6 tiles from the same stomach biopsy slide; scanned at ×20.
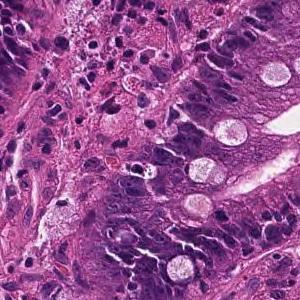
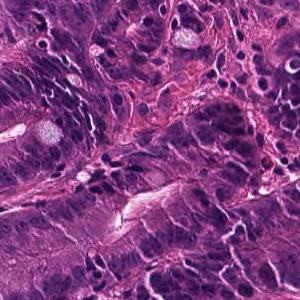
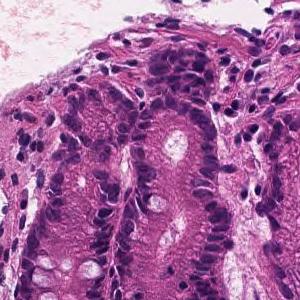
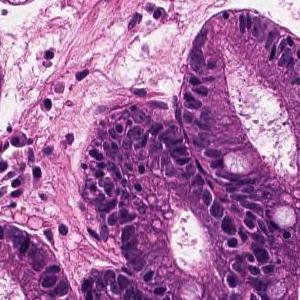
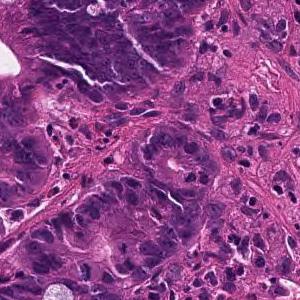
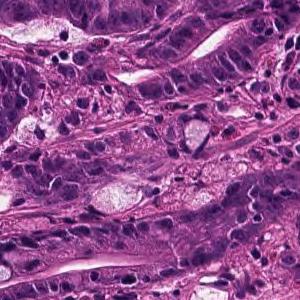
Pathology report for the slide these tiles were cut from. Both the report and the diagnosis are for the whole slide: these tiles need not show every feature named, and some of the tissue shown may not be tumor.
Medium to small, irregular glandular ducts are formed in the superficial epithelium, and in some cases, the glandular ducts are fused to show solid alveolar lesions and infiltrating tumor tissue is observed. Moderately to poorly differentiated adenocarcinoma.
